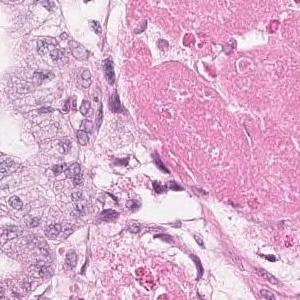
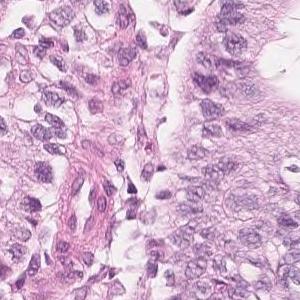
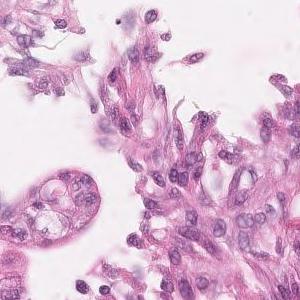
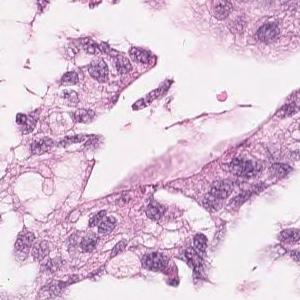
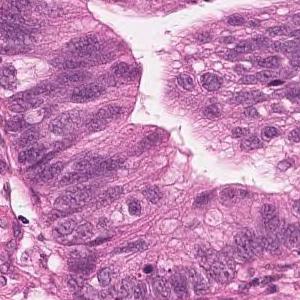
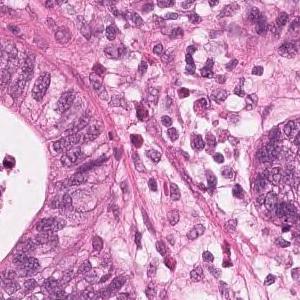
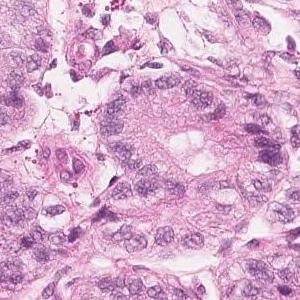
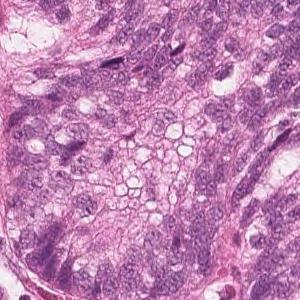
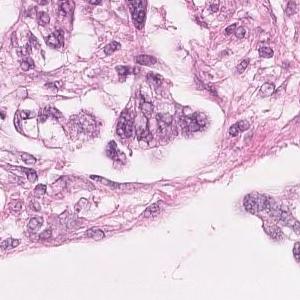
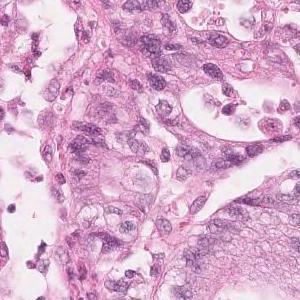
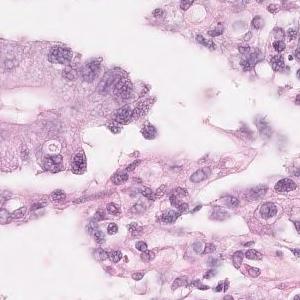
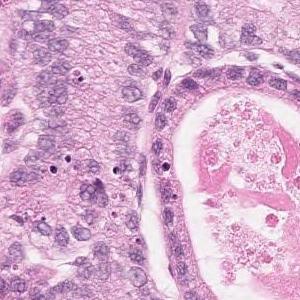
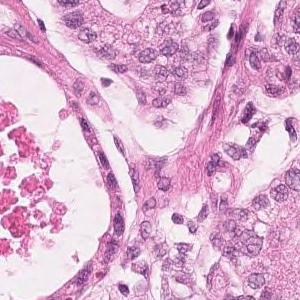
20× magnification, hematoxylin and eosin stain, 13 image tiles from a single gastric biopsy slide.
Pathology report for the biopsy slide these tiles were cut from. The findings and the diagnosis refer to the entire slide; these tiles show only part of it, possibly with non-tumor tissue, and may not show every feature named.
Highly columnar epithelium with disordered nuclear localization proliferates showing fusion ductal construction. moderately differentiated tubular adenocarcinoma
